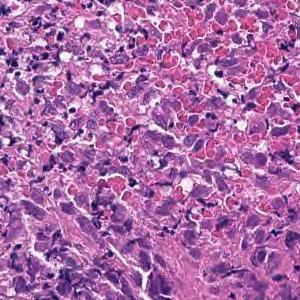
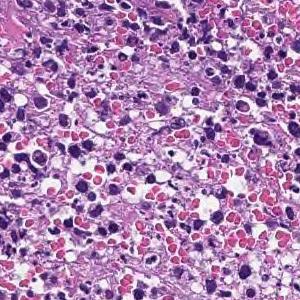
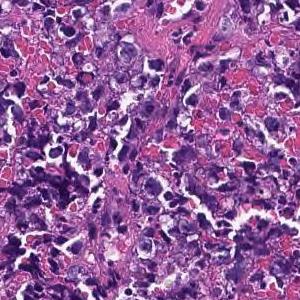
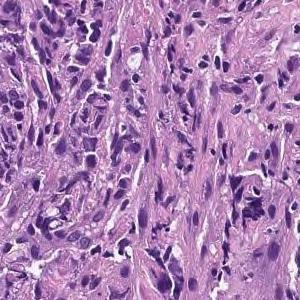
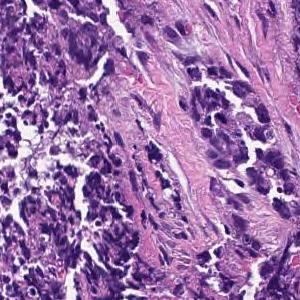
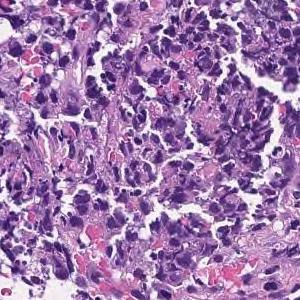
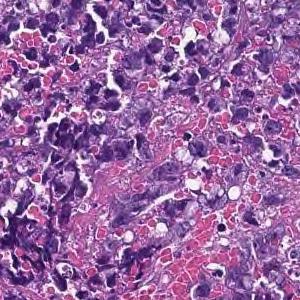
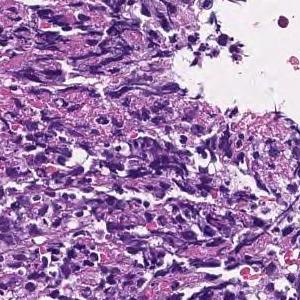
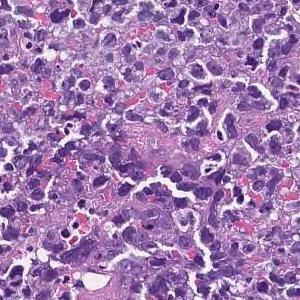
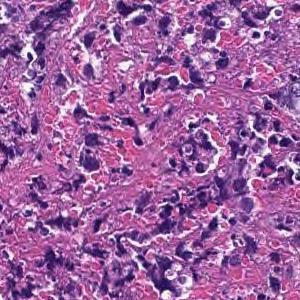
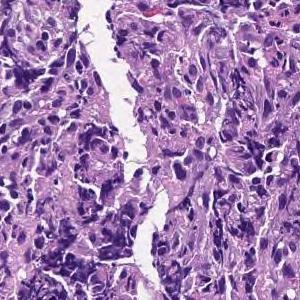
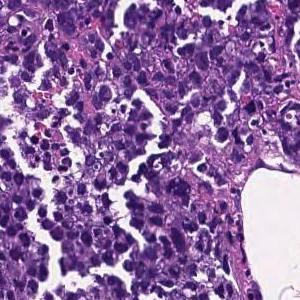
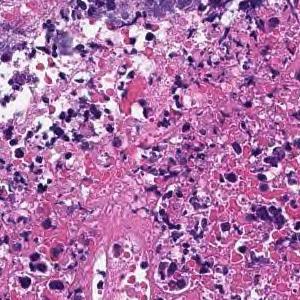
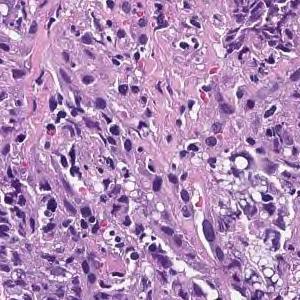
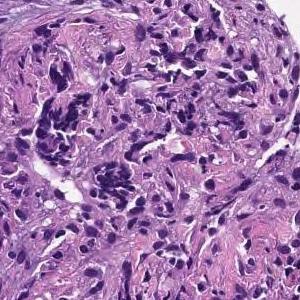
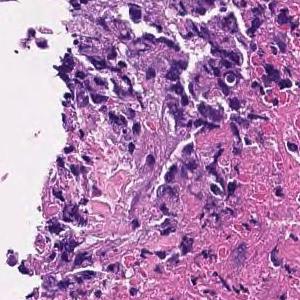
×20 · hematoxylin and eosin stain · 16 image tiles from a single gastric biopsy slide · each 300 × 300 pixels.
Diagnostic report for the slide these tiles come from. What the report and the diagnosis say applies to the whole slide; these tiles may miss some of the features named and may include tissue that is not tumor.
Most are composed of coagulative necrotic tissue, but some show a large sheet-like shape, and some show tumor tissue infiltrating with a small cord-like structure. Poorly differentiated adenocarcinoma, solid-type
Histological subtype: Poorly differentiated adenocarcinoma, solid type. This name comes from the Japanese Classification of Gastric Carcinoma; the WHO 2019 classification calls it tubular adenocarcinoma, poorly differentiated.
